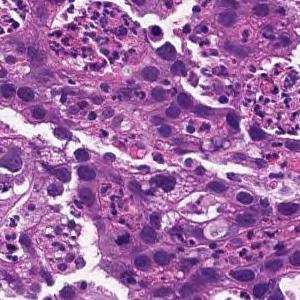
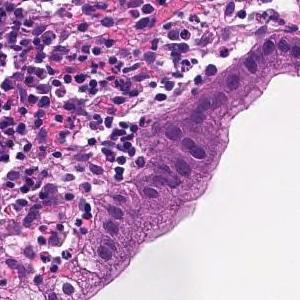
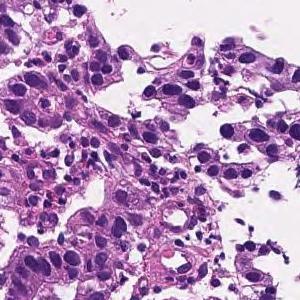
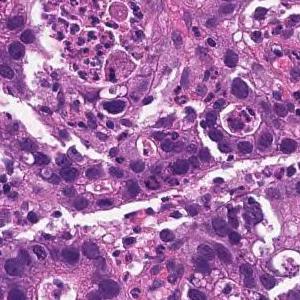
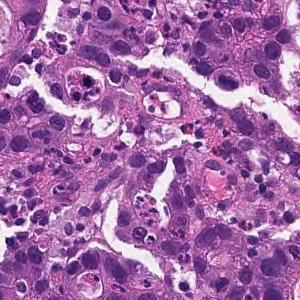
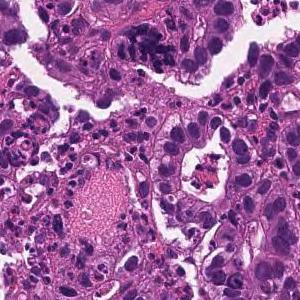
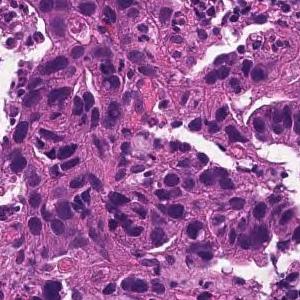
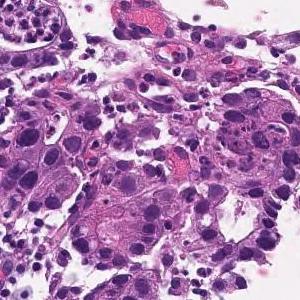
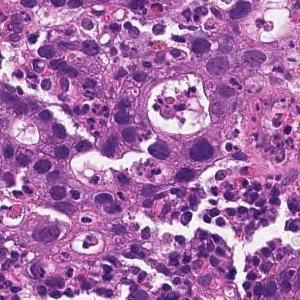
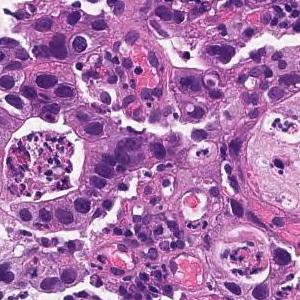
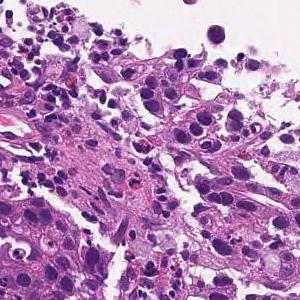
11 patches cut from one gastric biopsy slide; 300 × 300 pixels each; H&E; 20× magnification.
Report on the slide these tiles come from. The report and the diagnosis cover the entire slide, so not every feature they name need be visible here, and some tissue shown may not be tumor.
Medium to small, irregular glandular ducts are formed in the superficial epithelium, and in some cases, the glandular ducts are fused to show solid alveolar lesions and infiltrating tumor tissue is observed. Moderately to poorly differentiated adenocarcinoma.
